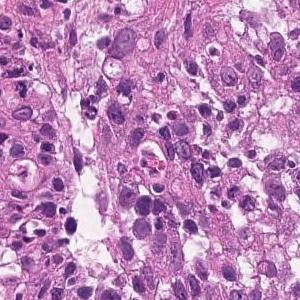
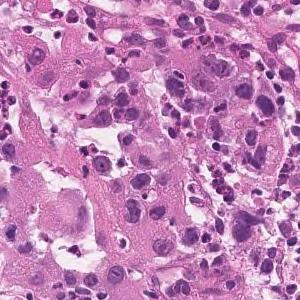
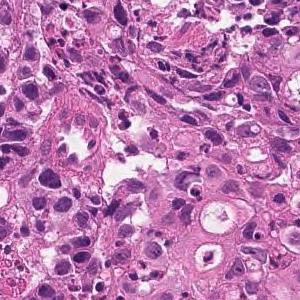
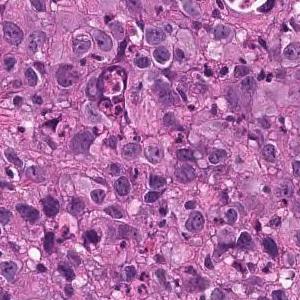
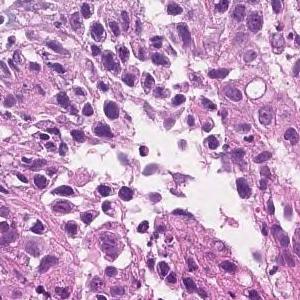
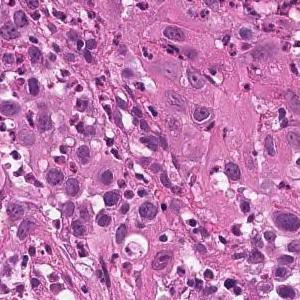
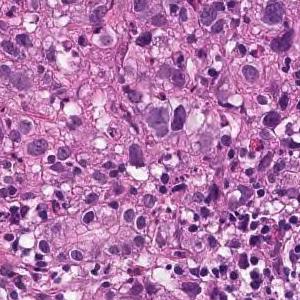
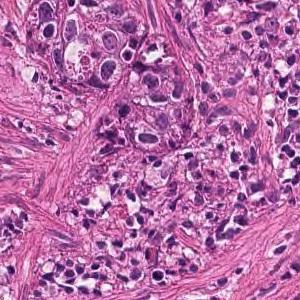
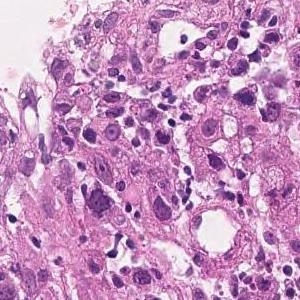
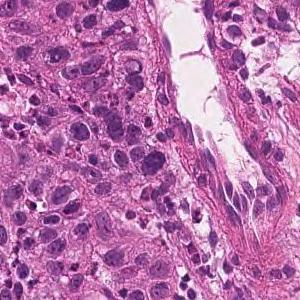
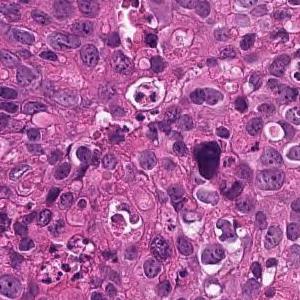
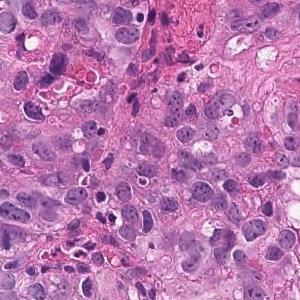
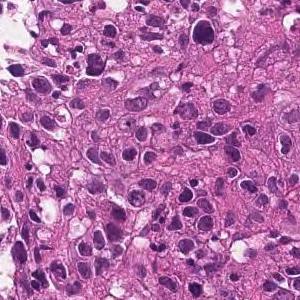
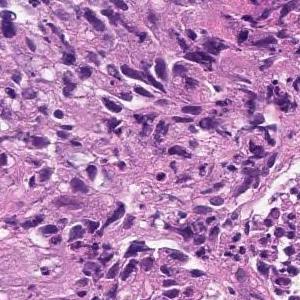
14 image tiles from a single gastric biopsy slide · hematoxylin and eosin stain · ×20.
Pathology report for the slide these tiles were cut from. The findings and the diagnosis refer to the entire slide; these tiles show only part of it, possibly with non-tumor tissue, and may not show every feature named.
The superficial epithelium shows a large sheet-like shape, and some tumor tissue infiltrates with small irregular ducts. Poorly differentiated adenocarcinoma, solid-type
Tumor subtype: poorly differentiated adenocarcinoma, solid type, a category of the Japanese Classification of Gastric Carcinoma; in the WHO 2019 classification it is tubular adenocarcinoma, poorly differentiated.
